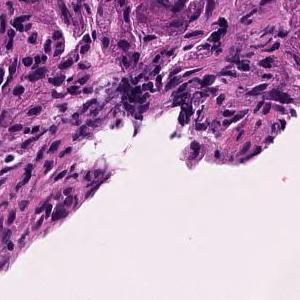
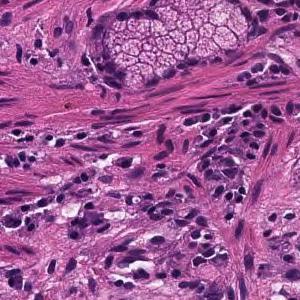
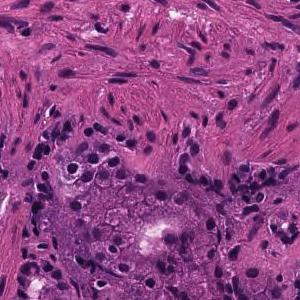
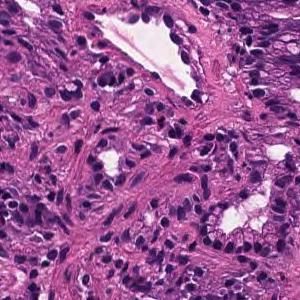
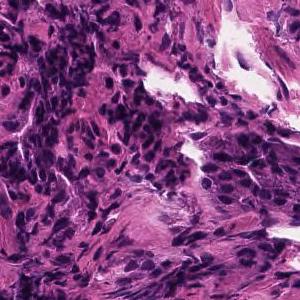
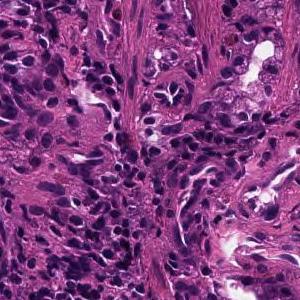
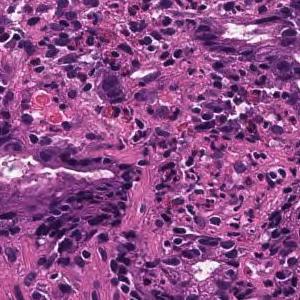
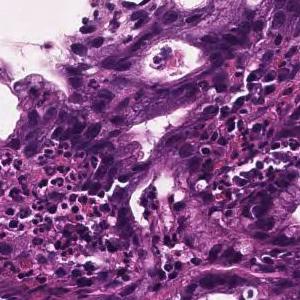
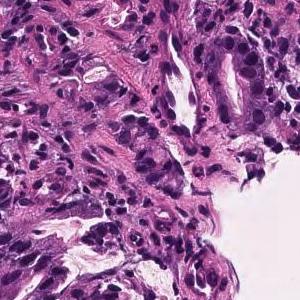
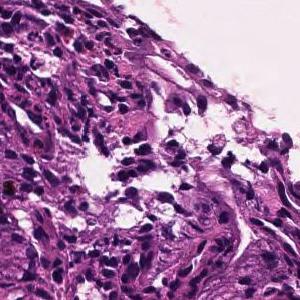
Scanned at ×20; 10 image tiles from a single gastric biopsy slide; 300×300 px each.
Pathology report for the biopsy slide these tiles were cut from. What the report and the diagnosis say applies to the whole slide; these tiles may miss some of the features named and may include tissue that is not tumor.
In the superficial epithelium, tumor tissue that invades by forming medium-sized to small, irregular ducts is observed. moderately differentiated tubular adenocarcinoma.
